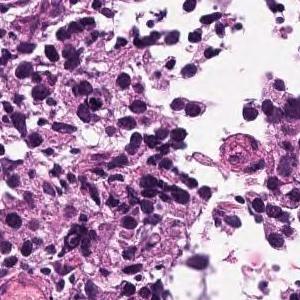
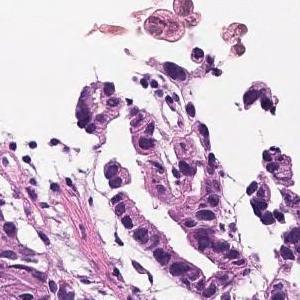
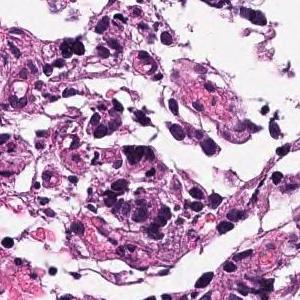
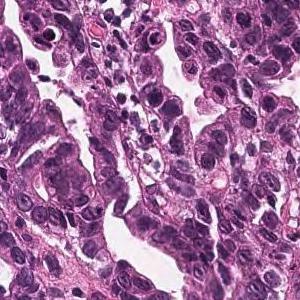
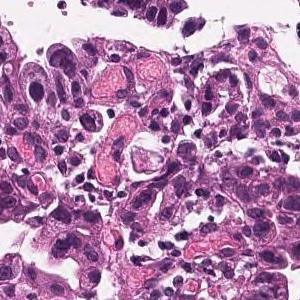
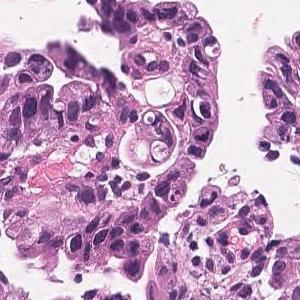
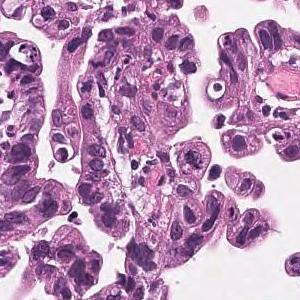
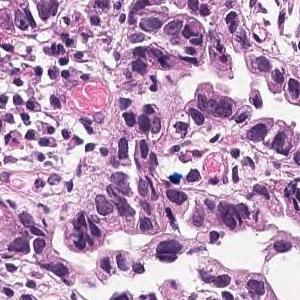
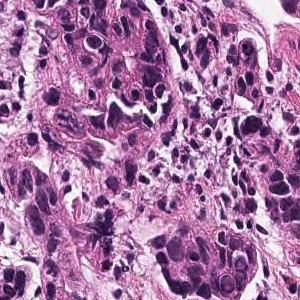
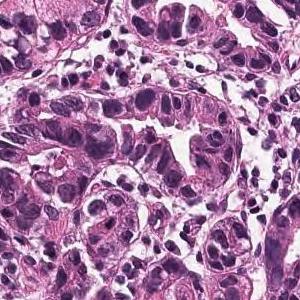
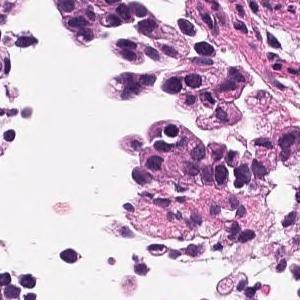
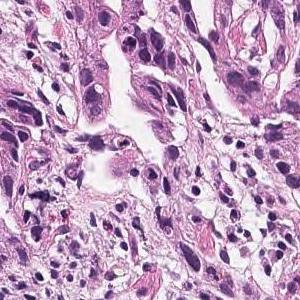
12 image tiles from a single gastric biopsy slide, H&E.
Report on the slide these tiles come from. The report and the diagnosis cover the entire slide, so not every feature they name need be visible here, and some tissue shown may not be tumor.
Medium to small, irregular glandular ducts are formed in the superficial epithelium, and in some cases, the glandular ducts are fused to show solid alveolar lesions and infiltrating tumor tissue is observed. Moderately to poorly differentiated adenocarcinoma.
